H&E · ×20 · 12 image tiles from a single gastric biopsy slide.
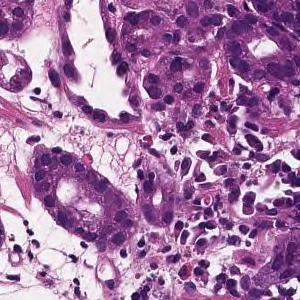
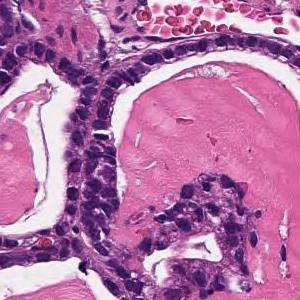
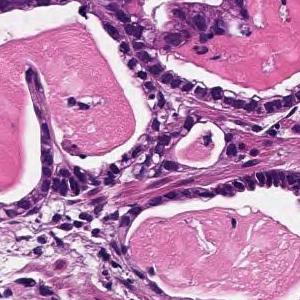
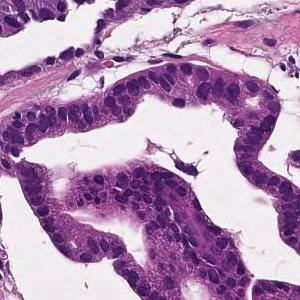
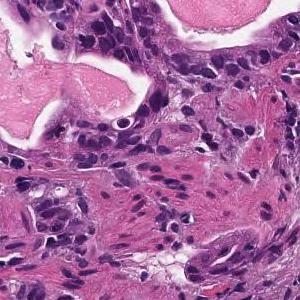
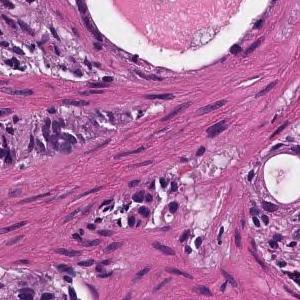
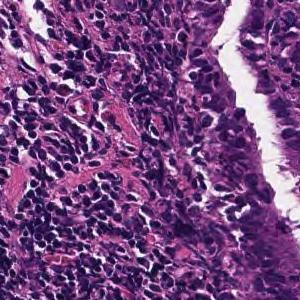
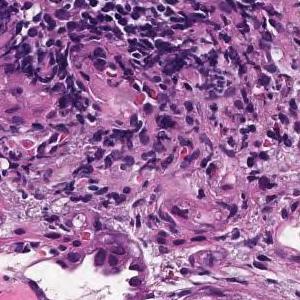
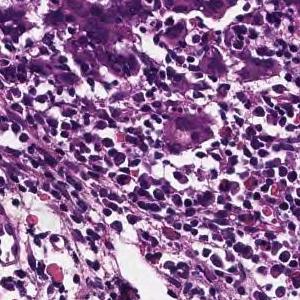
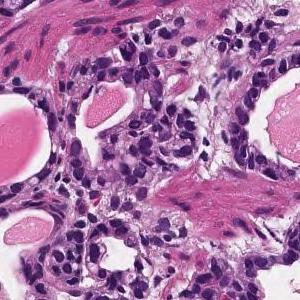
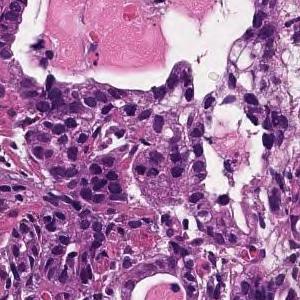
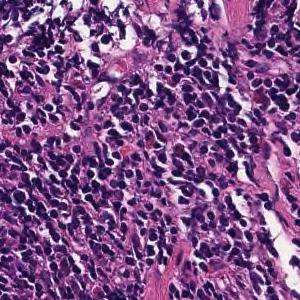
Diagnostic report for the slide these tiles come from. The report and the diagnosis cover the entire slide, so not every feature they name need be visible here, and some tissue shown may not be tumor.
Tumor tissue consisting of medium-sized, cord-like or irregular glandular infiltration is observed in the superficial epithelium. Poorly differentiated adenocarcinoma, non-solid type or moderately differentiated tubular adenocarcinoma
Histologic type: Moderately to poorly differentiated adenocarcinoma.
The non-solid type named here is a Japanese Classification of Gastric Carcinoma category.
